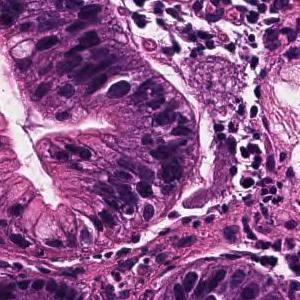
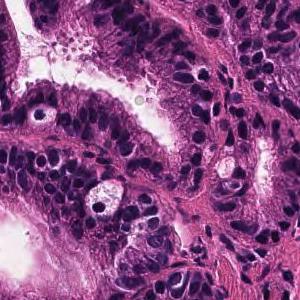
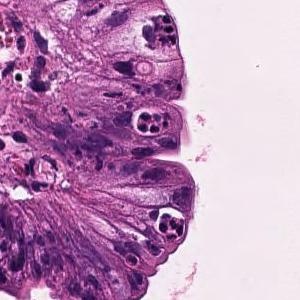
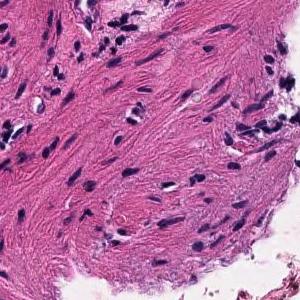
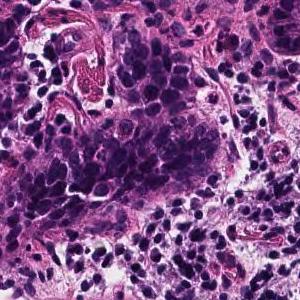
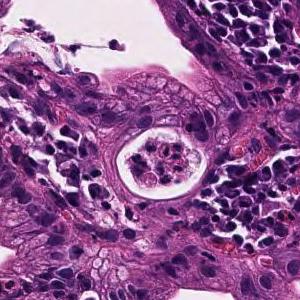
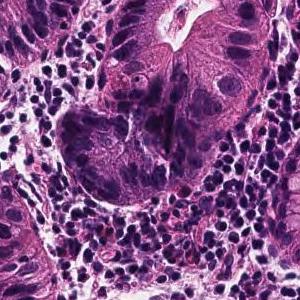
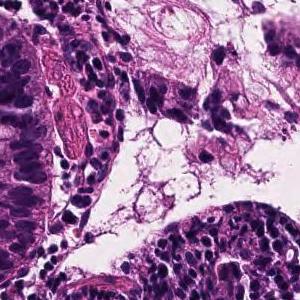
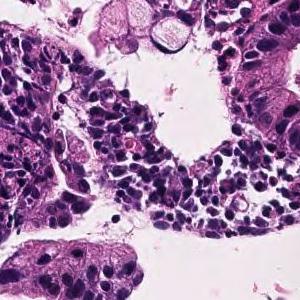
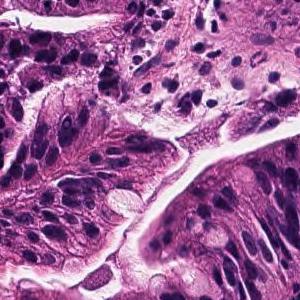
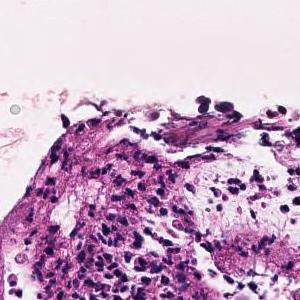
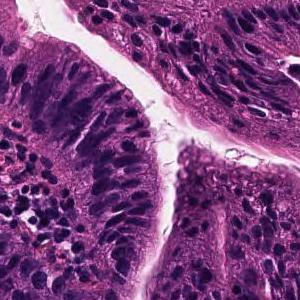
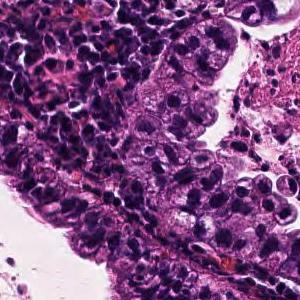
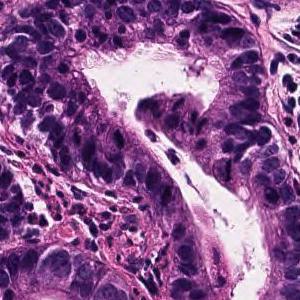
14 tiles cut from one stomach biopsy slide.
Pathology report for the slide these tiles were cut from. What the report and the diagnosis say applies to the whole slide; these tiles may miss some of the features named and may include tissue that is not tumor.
Tumor cells are large, highly columnar, large club-shaped nuclei, and are associated with chromatin aggregation. Papillary adenocarcinoma.
